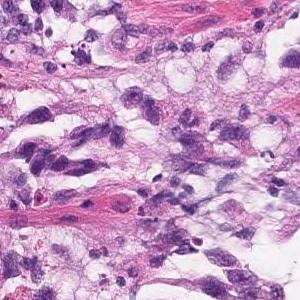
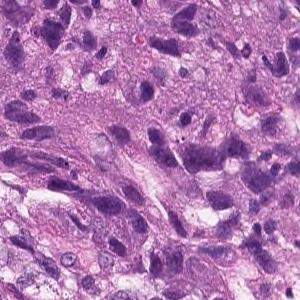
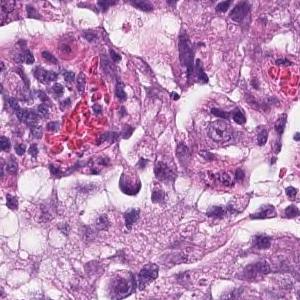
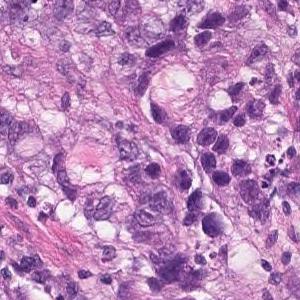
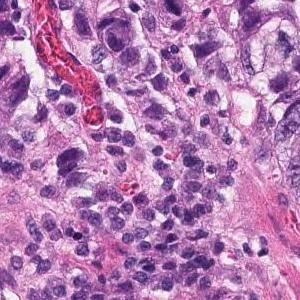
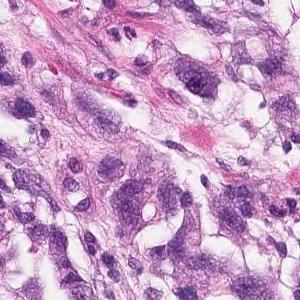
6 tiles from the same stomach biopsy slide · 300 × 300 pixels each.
Report on the slide these tiles come from. The findings and the diagnosis refer to the entire slide; these tiles show only part of it, possibly with non-tumor tissue, and may not show every feature named.
The superficial epithelium shows a large sheet-like shape, and some tumor tissue infiltrates with small irregular ducts. Poorly differentiated adenocarcinoma, solid-type
Subtype: Poorly differentiated adenocarcinoma, solid type (Japanese Classification of Gastric Carcinoma). The WHO 2019 equivalent is tubular adenocarcinoma, poorly differentiated.
